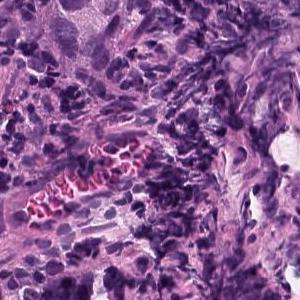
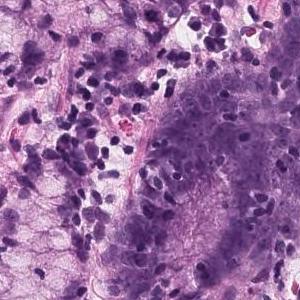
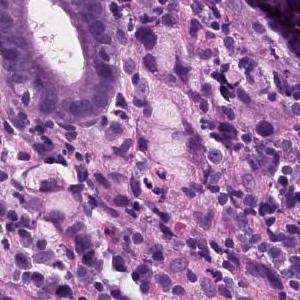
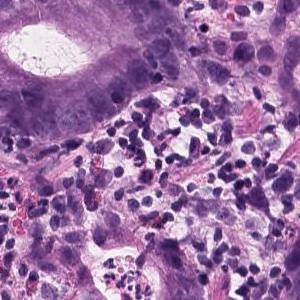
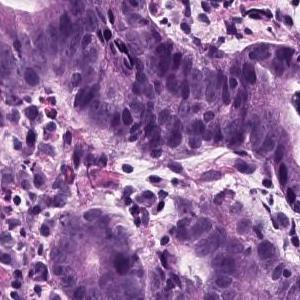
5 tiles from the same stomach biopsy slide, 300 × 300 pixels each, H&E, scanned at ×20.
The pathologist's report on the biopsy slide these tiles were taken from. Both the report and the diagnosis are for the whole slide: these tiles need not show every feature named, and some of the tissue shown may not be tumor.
In the superficial epithelium, tumor tissue that invades by forming medium-sized to small, irregular ducts is observed. Moderately differentiated adenocarcinoma.
Tumor subtype: moderately differentiated tubular adenocarcinoma.
